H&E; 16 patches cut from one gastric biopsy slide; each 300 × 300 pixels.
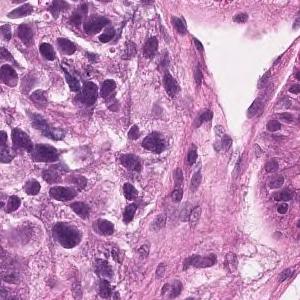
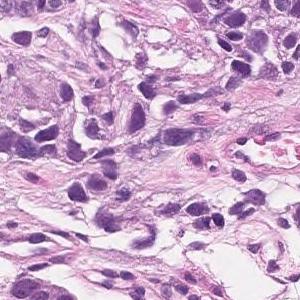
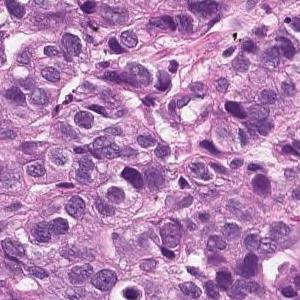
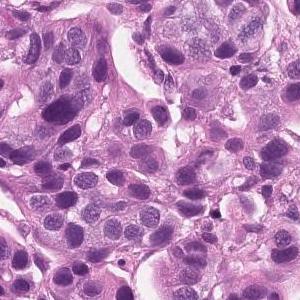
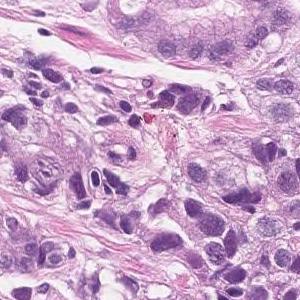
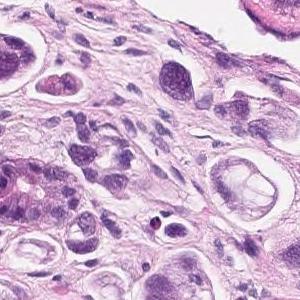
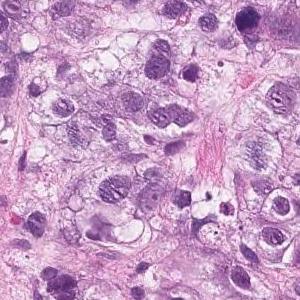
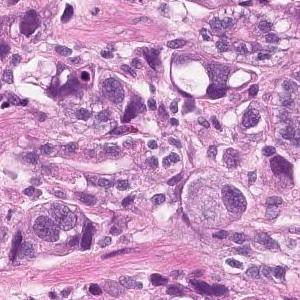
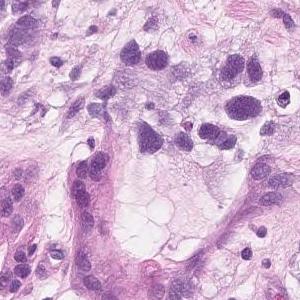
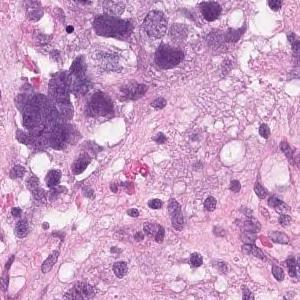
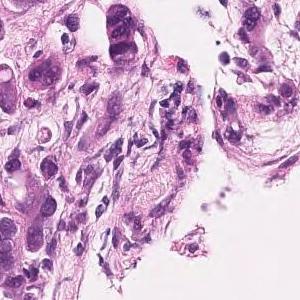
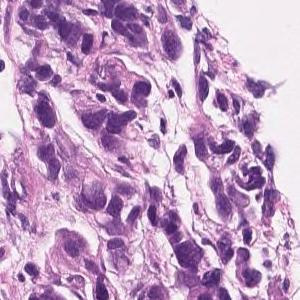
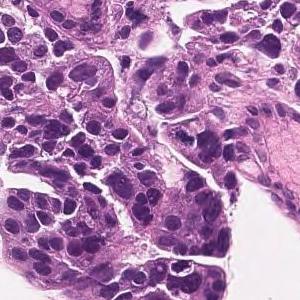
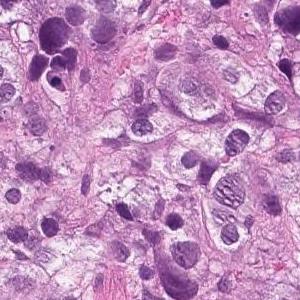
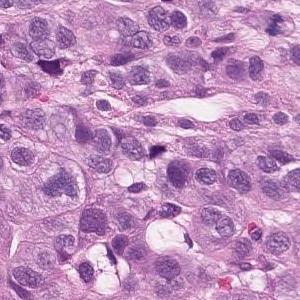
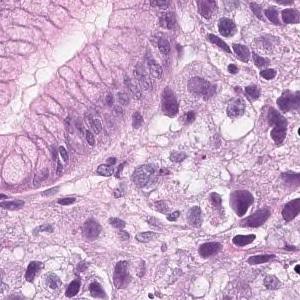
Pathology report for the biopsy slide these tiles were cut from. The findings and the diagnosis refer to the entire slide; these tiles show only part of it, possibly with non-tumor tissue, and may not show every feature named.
Tumor tissue that infiltrates the epithelium in an alveolar manner. Poorly differentiated adenocarcinoma, solid-type
Histologic type: Poorly differentiated adenocarcinoma, solid type. This name comes from the Japanese Classification of Gastric Carcinoma; the WHO 2019 classification calls it tubular adenocarcinoma, poorly differentiated.
